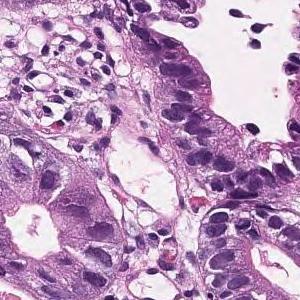
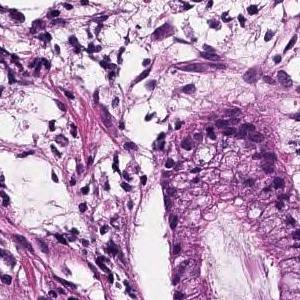
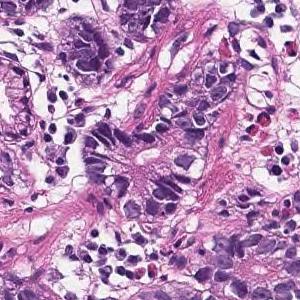
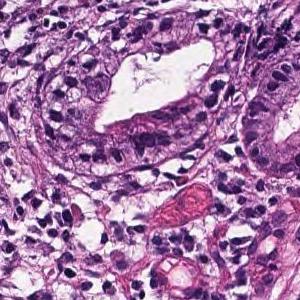
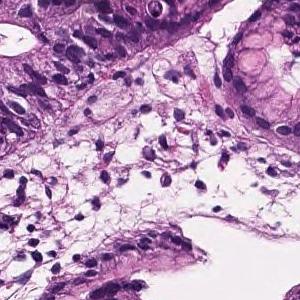
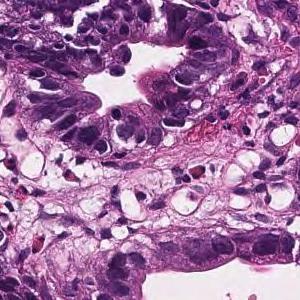
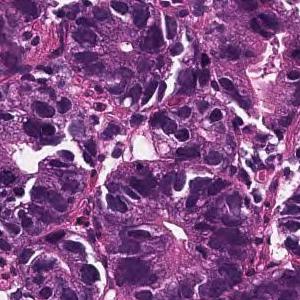
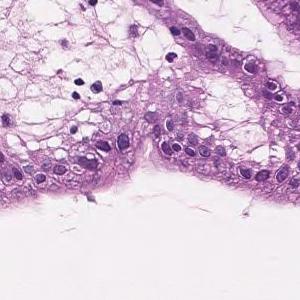
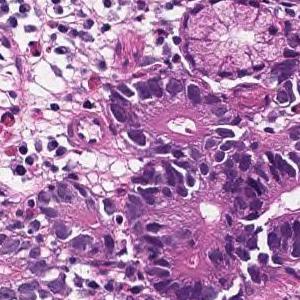
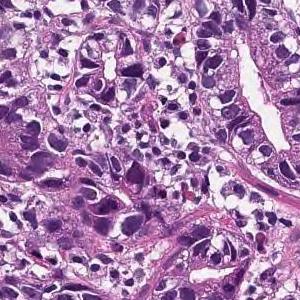
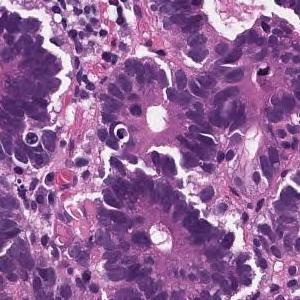
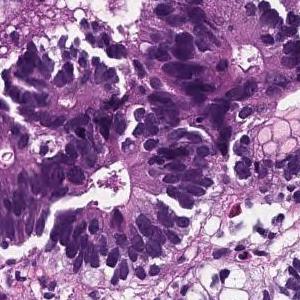
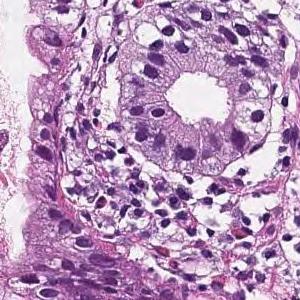
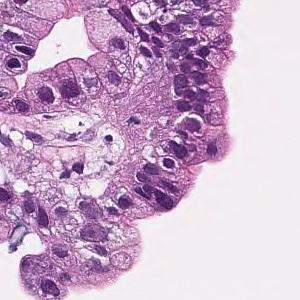
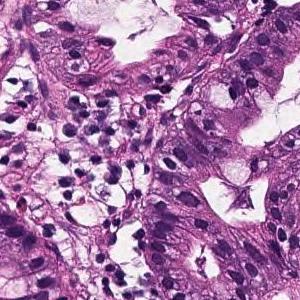
×20 · H&E · 15 tiles cut from one stomach biopsy slide · 300 × 300 pixels each.
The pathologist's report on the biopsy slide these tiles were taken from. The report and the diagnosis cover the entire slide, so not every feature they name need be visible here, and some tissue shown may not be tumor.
On the superficial epithelium, tumor tissue consisting of large, irregular glandular ducts partially fused and infiltrated is observed. Well to moderately differentiated tubular adenocarcinoma (well differentiated tubular adenocarcinoma, moderately differentiated tubular adenocarcinoma)
Histological subtype: Well to moderately differentiated tubular adenocarcinoma.
